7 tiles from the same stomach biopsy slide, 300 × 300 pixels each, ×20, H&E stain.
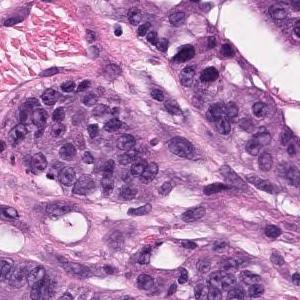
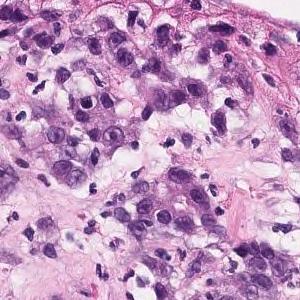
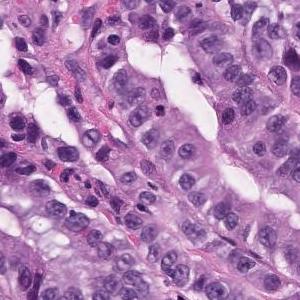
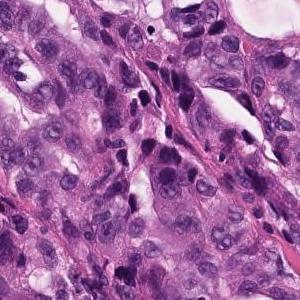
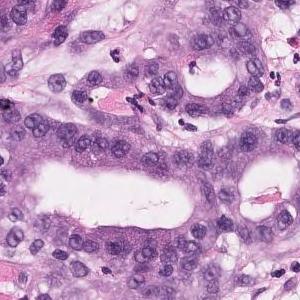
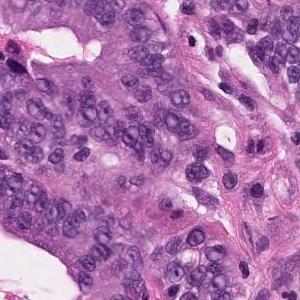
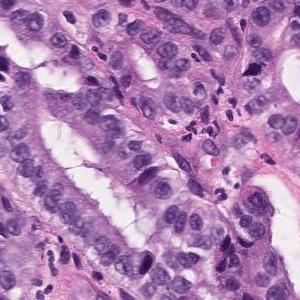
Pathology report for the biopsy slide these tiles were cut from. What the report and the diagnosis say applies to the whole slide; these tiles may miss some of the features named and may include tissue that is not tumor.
In the superficial epithelium, tumor tissue that invades by forming medium-sized to small, irregular ducts is observed. Moderately differentiated adenocarcinoma.
Subtype: Moderately differentiated tubular adenocarcinoma.
